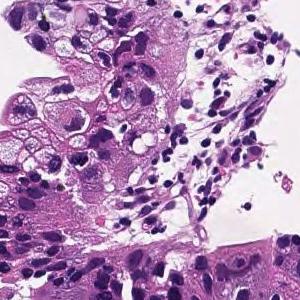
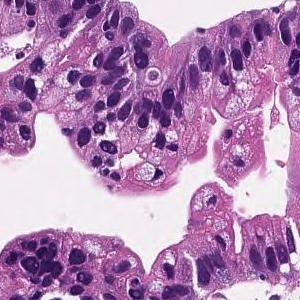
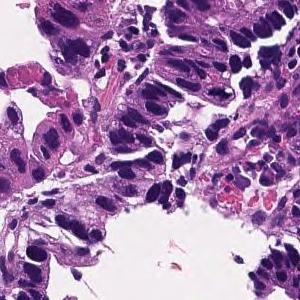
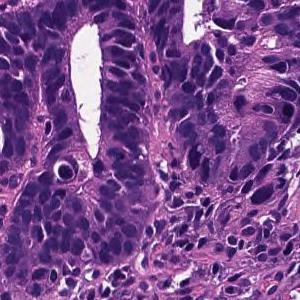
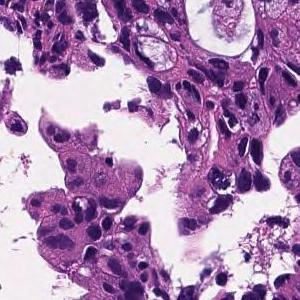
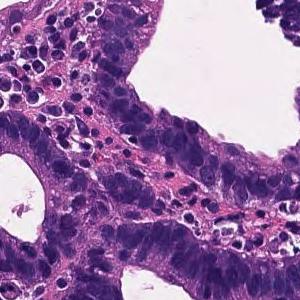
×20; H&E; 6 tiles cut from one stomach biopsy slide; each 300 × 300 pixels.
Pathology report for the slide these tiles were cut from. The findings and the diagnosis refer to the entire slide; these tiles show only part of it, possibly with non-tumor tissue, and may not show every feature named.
In the superficial epithelium, tumor tissue that invades by forming medium-sized to small, irregular ducts is observed. moderately differentiated tubular adenocarcinoma.
